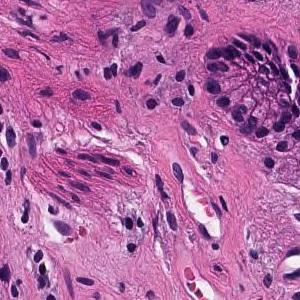
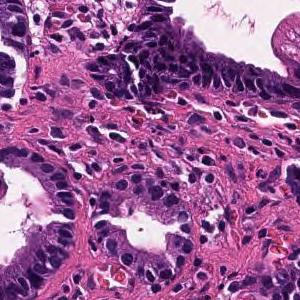
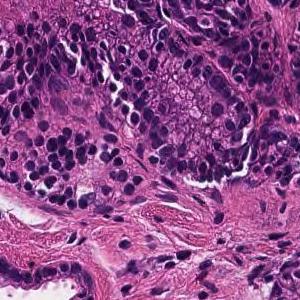
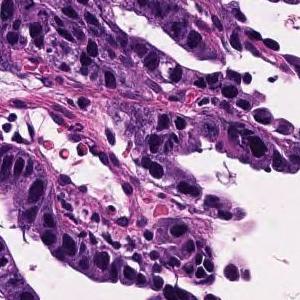
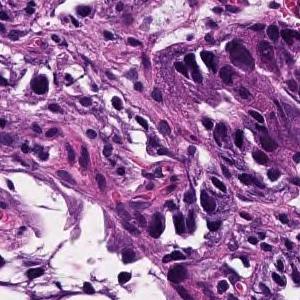
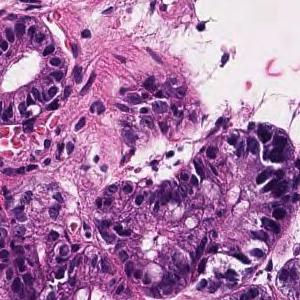
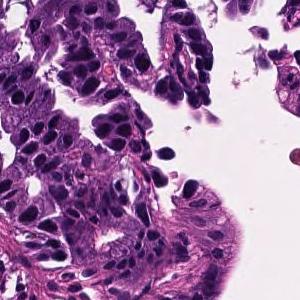
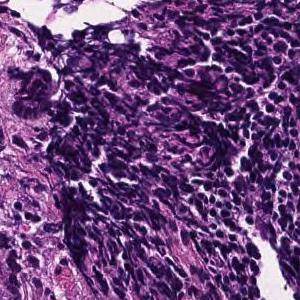
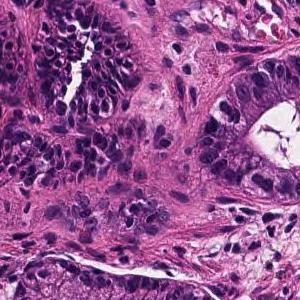
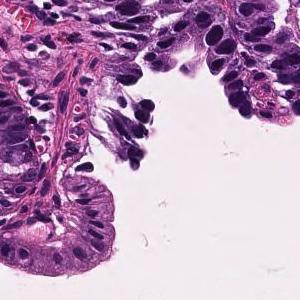
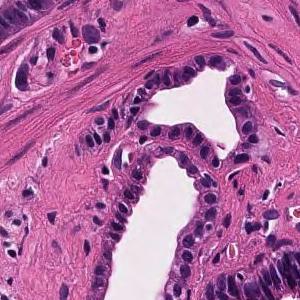
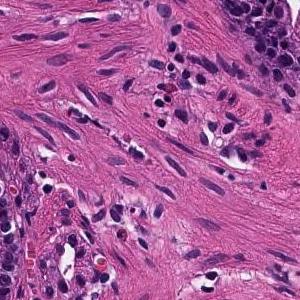
H&E stain, scanned at ×20, 12 image tiles from a single gastric biopsy slide.
Pathology report for the biopsy slide these tiles were cut from. The report and the diagnosis cover the entire slide, so not every feature they name need be visible here, and some tissue shown may not be tumor.
Tumor cells are large, highly columnar, large club-shaped nuclei, and are associated with chromatin aggregation. Papillary adenocarcinoma.
